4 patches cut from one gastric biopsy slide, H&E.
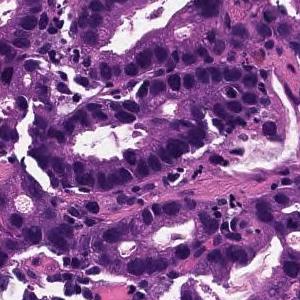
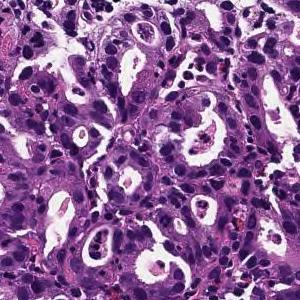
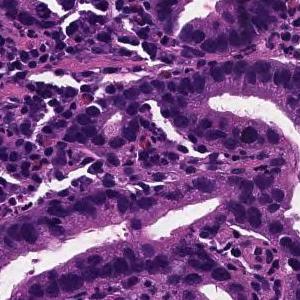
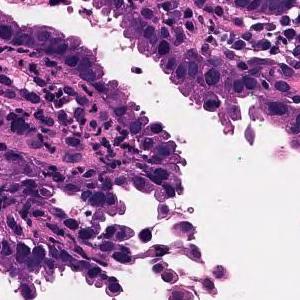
Pathology report for the biopsy slide these tiles were cut from. The report and the diagnosis describe the slide as a whole, so these tiles may not show every feature named and may include non-tumor tissue.
On the superficial epithelium, tumor tissue is found in which medium-sized irregular gland ducts fuse with each other and infiltrate. moderately differentiated tubular adenocarcinoma
